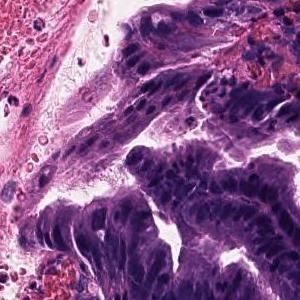
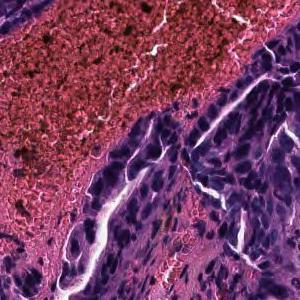
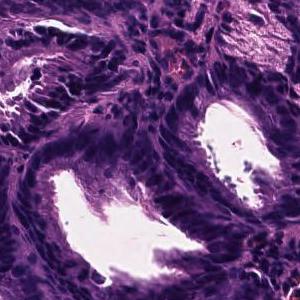
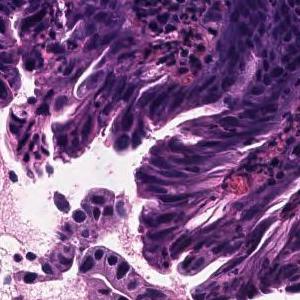
4 tiles from the same stomach biopsy slide; H&E stain; 20× magnification.
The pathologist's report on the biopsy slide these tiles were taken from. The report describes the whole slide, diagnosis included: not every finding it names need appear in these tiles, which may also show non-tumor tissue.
Tumor tissue in which highly columnar atypical epithelial cells with marked nuclear swelling and increased nuclear chromatin form small to medium-sized irregular ducts or papillary structures is observed. Well differentiated tubular adenocarcinoma
